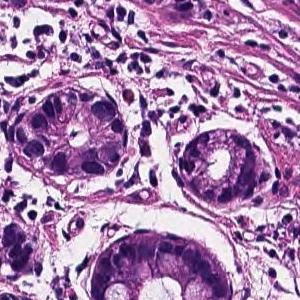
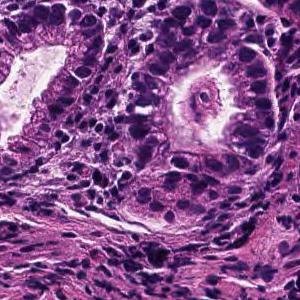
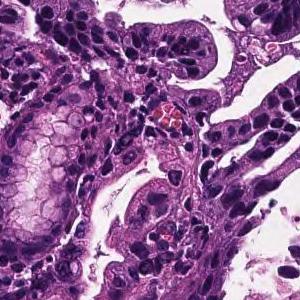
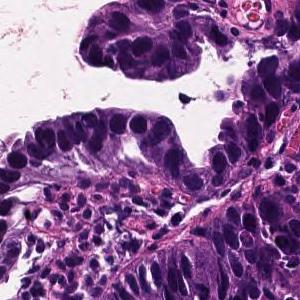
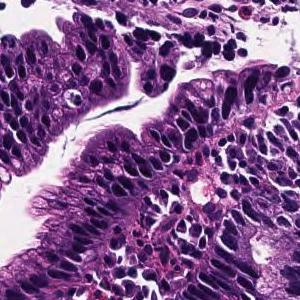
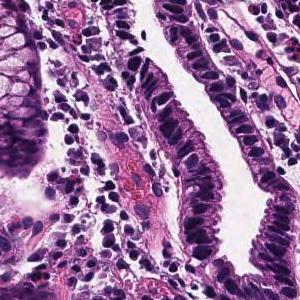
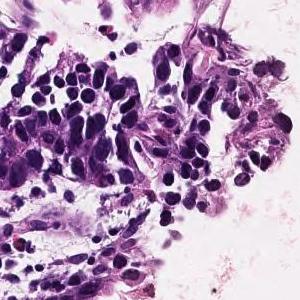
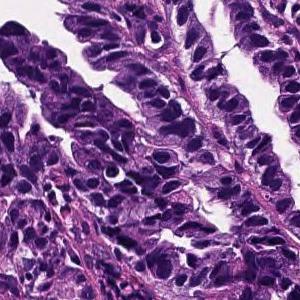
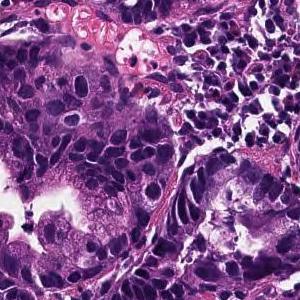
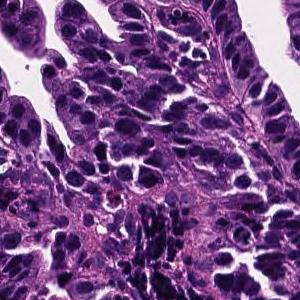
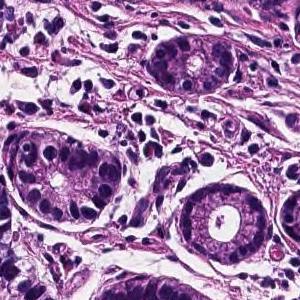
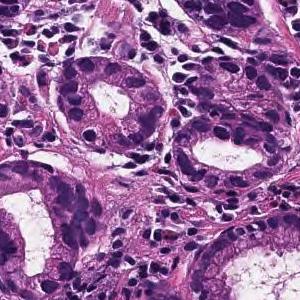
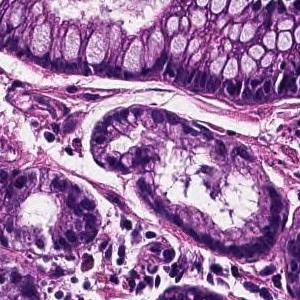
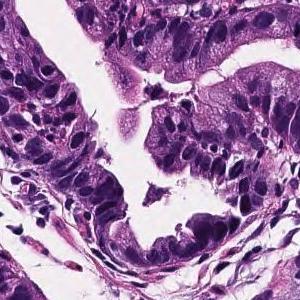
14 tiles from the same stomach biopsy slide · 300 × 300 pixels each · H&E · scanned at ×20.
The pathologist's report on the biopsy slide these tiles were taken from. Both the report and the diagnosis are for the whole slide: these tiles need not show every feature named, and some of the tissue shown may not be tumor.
Tumor cells are large, highly columnar, large club-shaped nuclei, and are associated with chromatin aggregation. Papillary adenocarcinoma.
